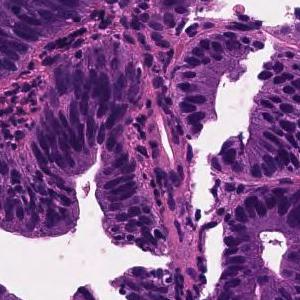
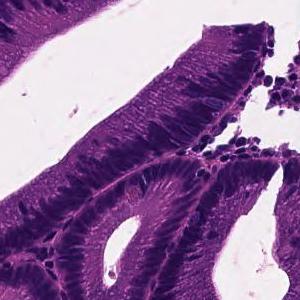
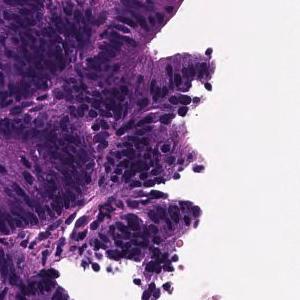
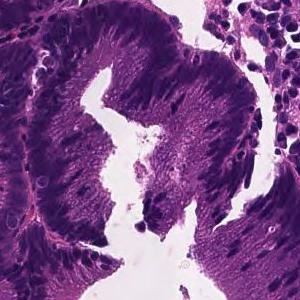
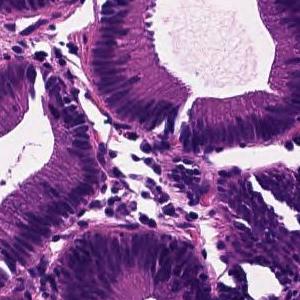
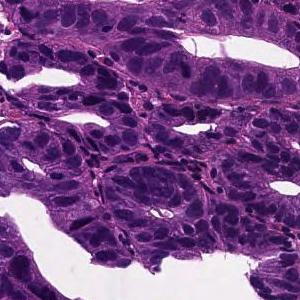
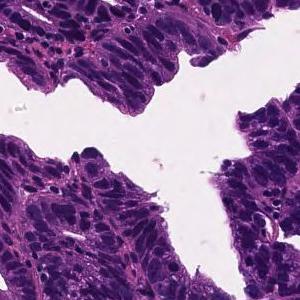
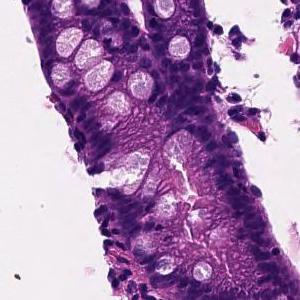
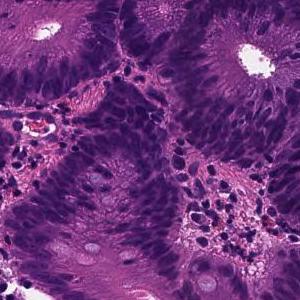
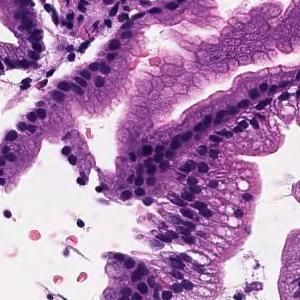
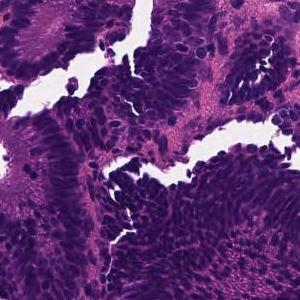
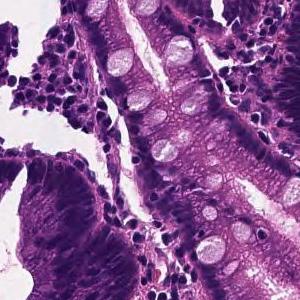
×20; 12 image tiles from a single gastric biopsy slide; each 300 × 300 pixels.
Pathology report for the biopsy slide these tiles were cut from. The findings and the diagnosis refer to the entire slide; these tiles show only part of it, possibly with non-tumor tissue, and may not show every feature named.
Tumor tissue in which medium to small irregular ducts infiltrate and proliferate in the submucosa can be seen in the epithelium. Well differentiated tubular adenocarcinoma
